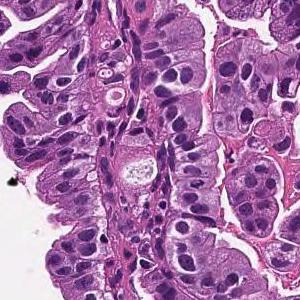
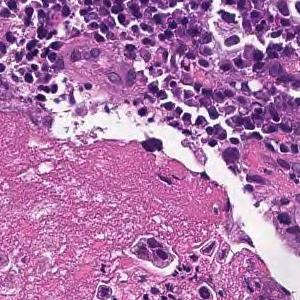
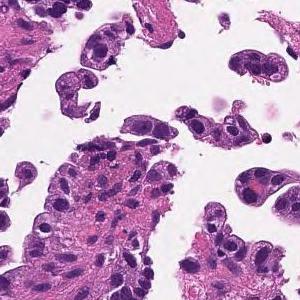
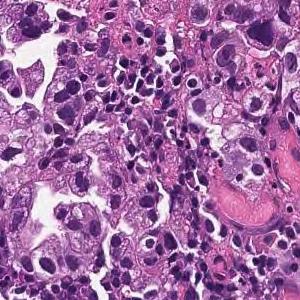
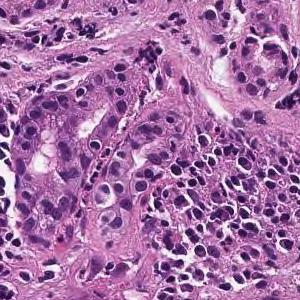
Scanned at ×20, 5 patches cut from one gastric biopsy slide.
Pathology report for the biopsy slide these tiles were cut from. Both the report and the diagnosis are for the whole slide: these tiles need not show every feature named, and some of the tissue shown may not be tumor.
Medium to small, irregular glandular ducts are formed in the superficial epithelium, and in some cases, the glandular ducts are fused to show solid alveolar lesions and infiltrating tumor tissue is observed. Moderately to poorly differentiated adenocarcinoma.
